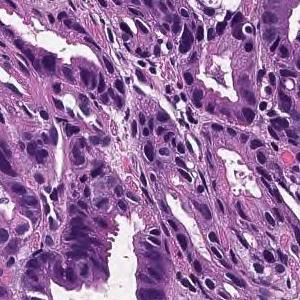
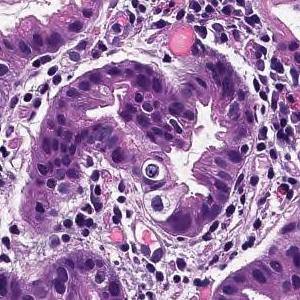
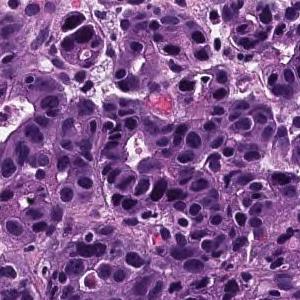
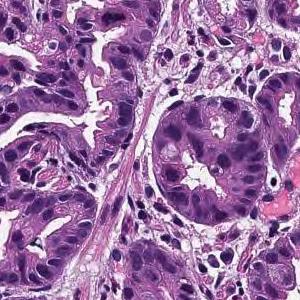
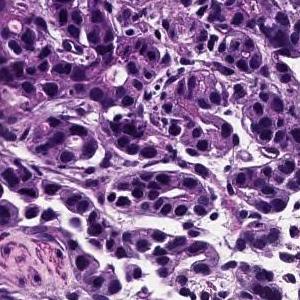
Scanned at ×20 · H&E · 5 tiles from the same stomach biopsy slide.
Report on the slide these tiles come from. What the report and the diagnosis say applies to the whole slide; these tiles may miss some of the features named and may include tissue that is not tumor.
From the superficial epithelium to the muscularis mucosae, tumor tissue consisting of medium-sized and irregular glandular ducts infiltrating is observed. Well differentiated tubular adenocarcinoma
